H&E; 20× magnification; 13 tiles from the same stomach biopsy slide.
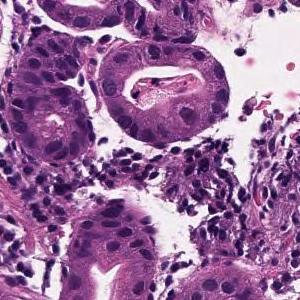
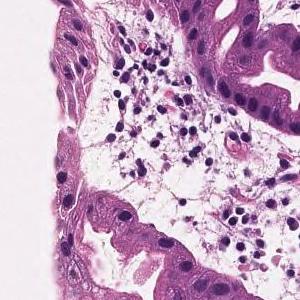
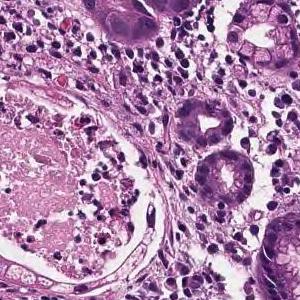
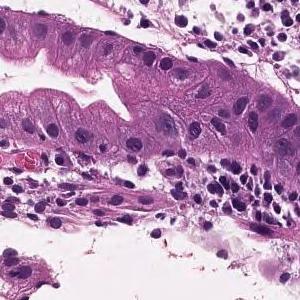
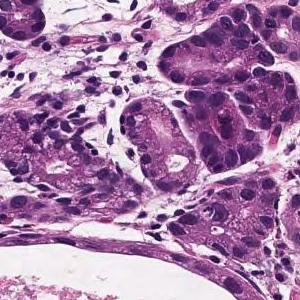
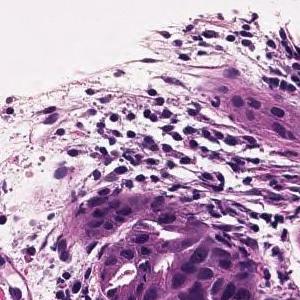
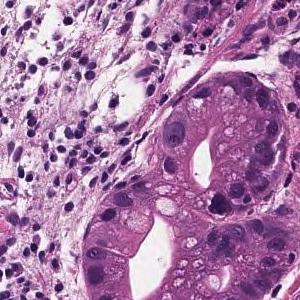
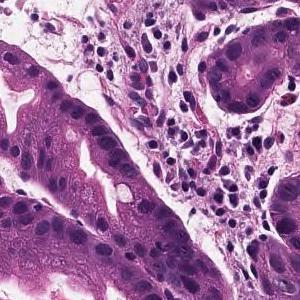
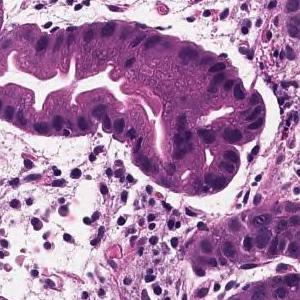
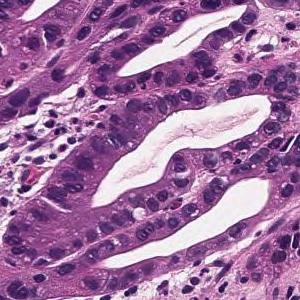
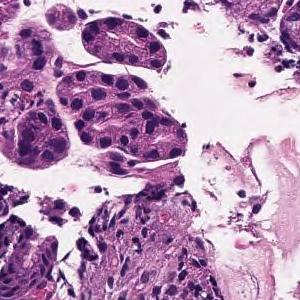
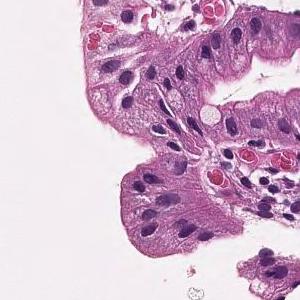
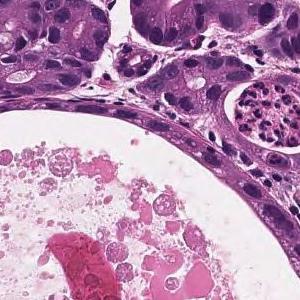
Pathology report for the slide these tiles were cut from. The report and the diagnosis describe the slide as a whole, so these tiles may not show every feature named and may include non-tumor tissue.
From the superficial epithelium to the muscularis mucosae, tumor tissue consisting of medium-sized and irregular glandular ducts infiltrating is observed. Well differentiated tubular adenocarcinoma
